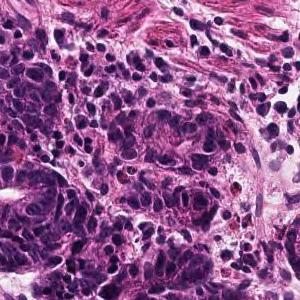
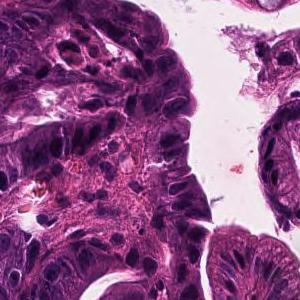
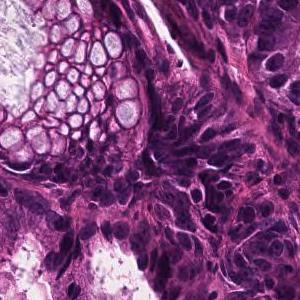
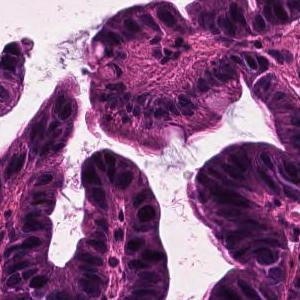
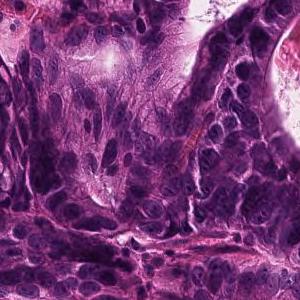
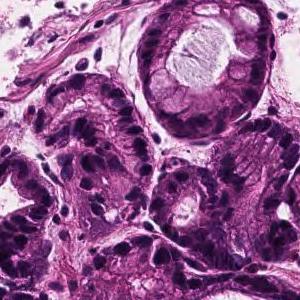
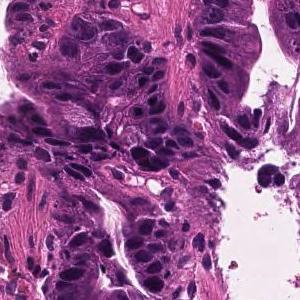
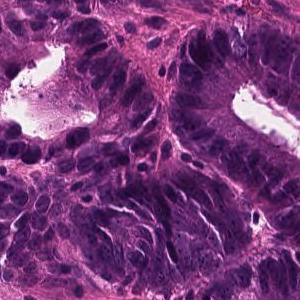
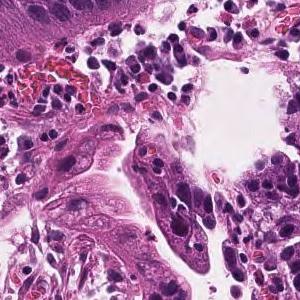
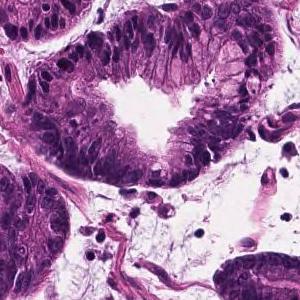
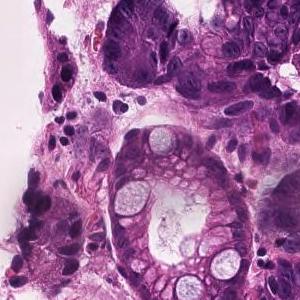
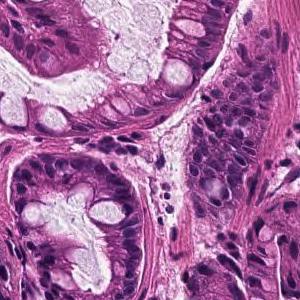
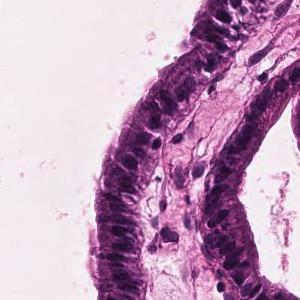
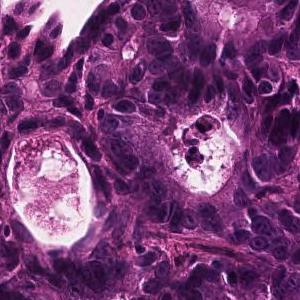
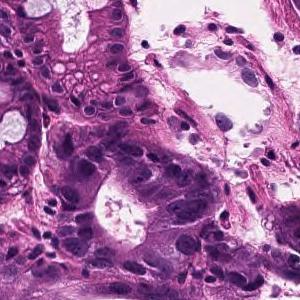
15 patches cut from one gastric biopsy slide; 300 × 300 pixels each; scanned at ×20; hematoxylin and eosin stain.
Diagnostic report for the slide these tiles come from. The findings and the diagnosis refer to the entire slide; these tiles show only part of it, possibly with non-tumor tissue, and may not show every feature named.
In the superficial epithelium, tumor tissue that invades by forming medium-sized to small, irregular ducts is observed. Well differentiated tubular adenocarcinoma.
